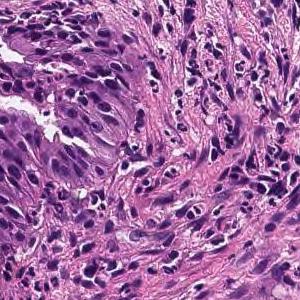
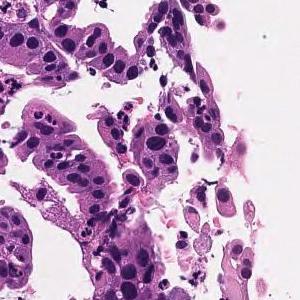
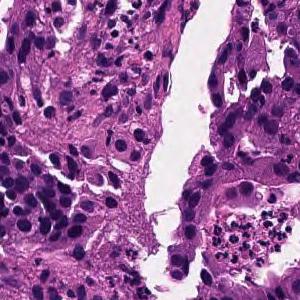
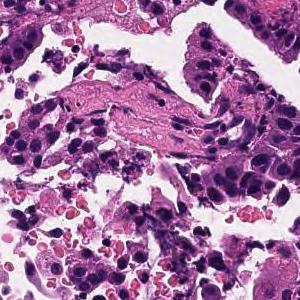
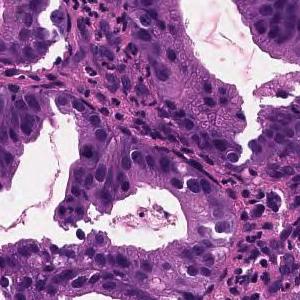
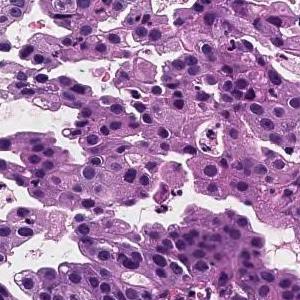
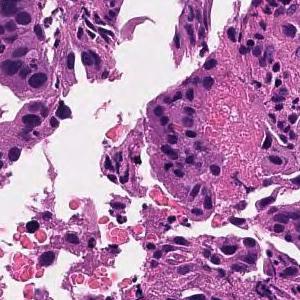
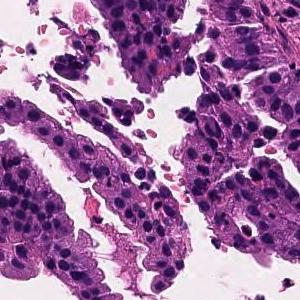
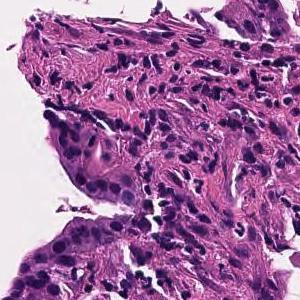
Scanned at ×20; hematoxylin and eosin stain; 9 image tiles from a single gastric biopsy slide; 300×300 px each.
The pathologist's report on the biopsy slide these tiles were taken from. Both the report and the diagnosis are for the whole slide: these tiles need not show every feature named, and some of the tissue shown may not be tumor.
On the superficial epithelium, tumor tissue consisting of large, irregular glandular ducts partially fused and infiltrated is observed. Well to moderately differentiated tubular adenocarcinoma (well differentiated tubular adenocarcinoma, moderately differentiated tubular adenocarcinoma)
Classified as well to moderately differentiated tubular adenocarcinoma.
